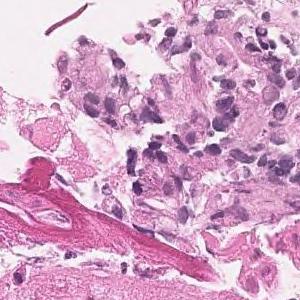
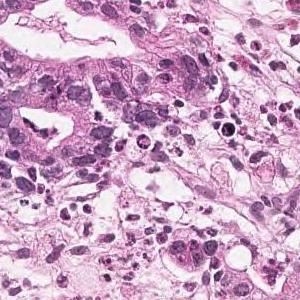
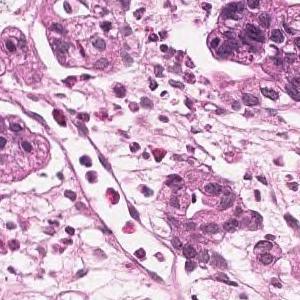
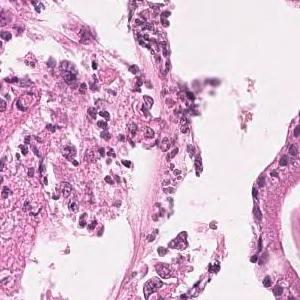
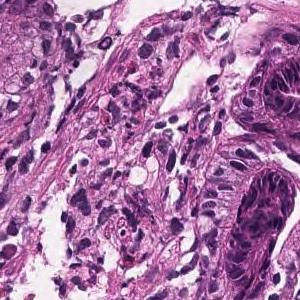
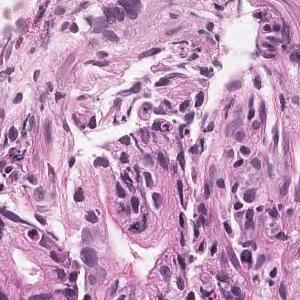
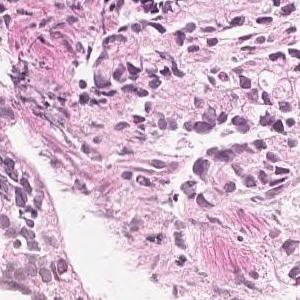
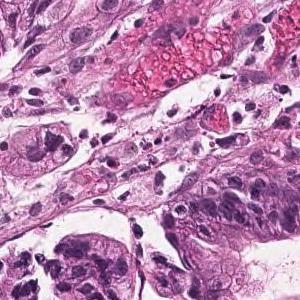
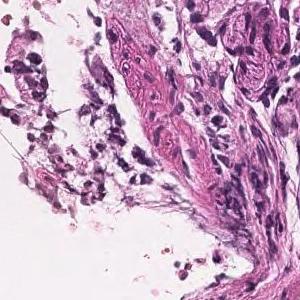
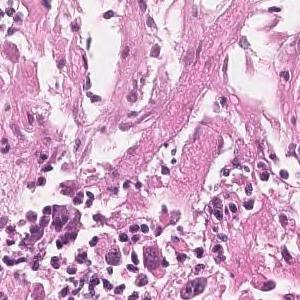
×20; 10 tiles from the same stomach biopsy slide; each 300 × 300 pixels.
Pathology report for the biopsy slide these tiles were cut from. What the report and the diagnosis say applies to the whole slide; these tiles may miss some of the features named and may include tissue that is not tumor.
In the superficial epithelium, medium to small irregular gland ducts are formed, and in some cases, the ducts are fused to show solid alveolar lesions and infiltrating tumor tissue is observed. Moderately to poorly differentiated adenocarcinoma
